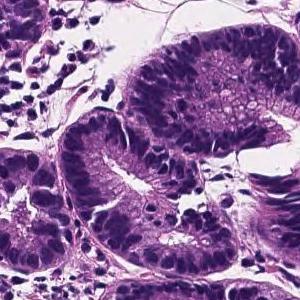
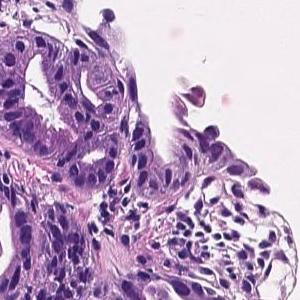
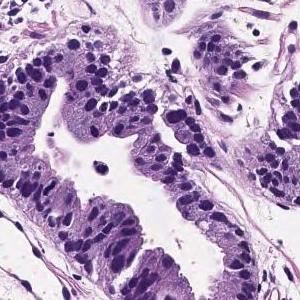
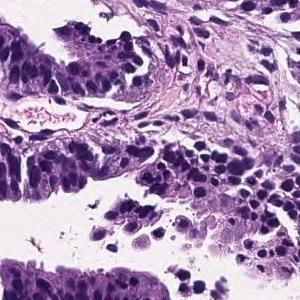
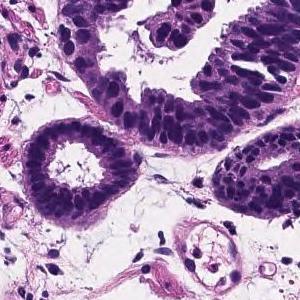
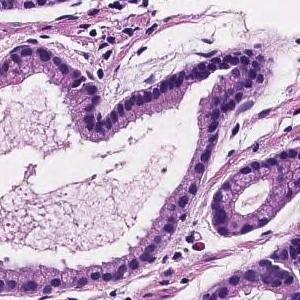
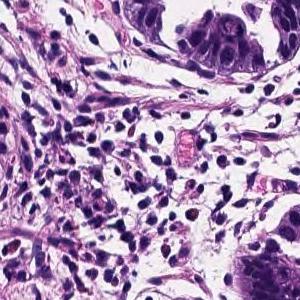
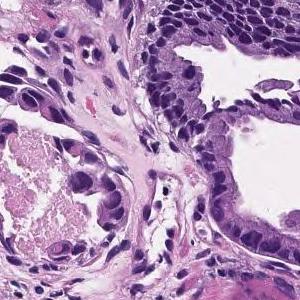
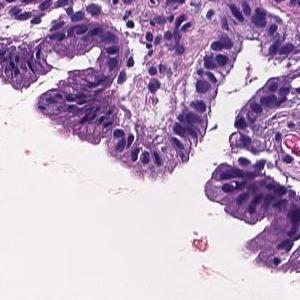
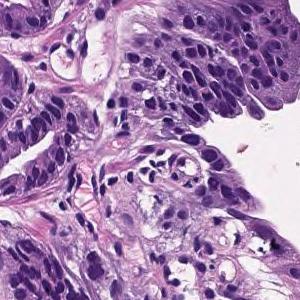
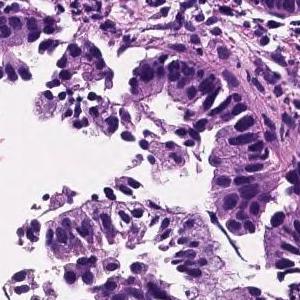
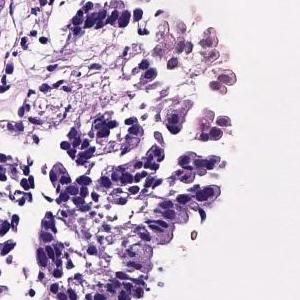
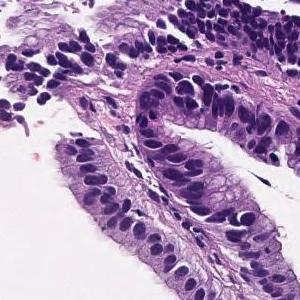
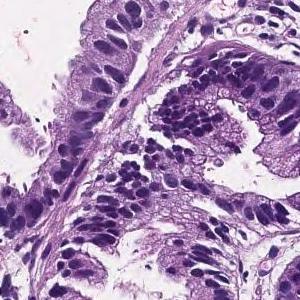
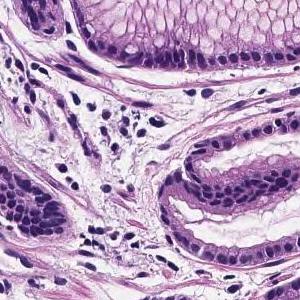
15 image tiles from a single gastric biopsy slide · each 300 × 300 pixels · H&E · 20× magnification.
Pathology report for the biopsy slide these tiles were cut from. The findings and the diagnosis refer to the entire slide; these tiles show only part of it, possibly with non-tumor tissue, and may not show every feature named.
Tumor cells are large, highly columnar, large club-shaped nuclei, and are associated with chromatin aggregation. Papillary adenocarcinoma.
